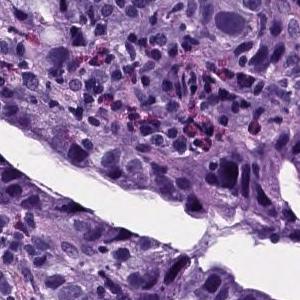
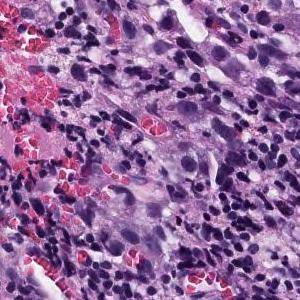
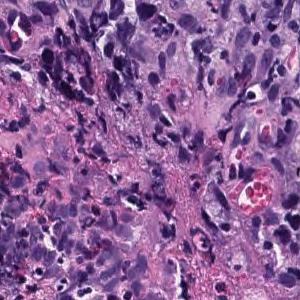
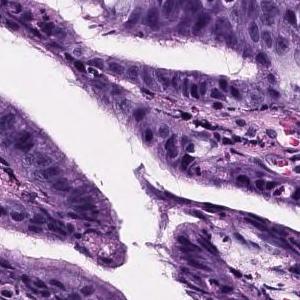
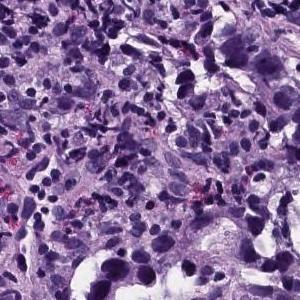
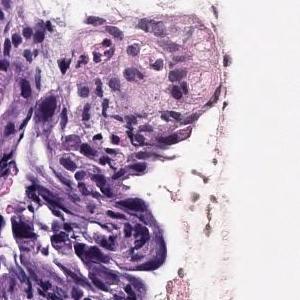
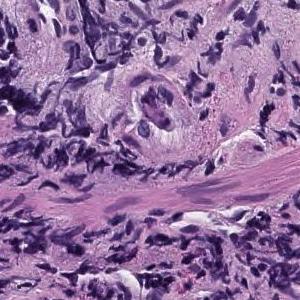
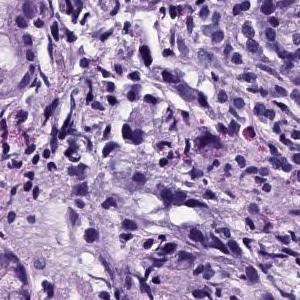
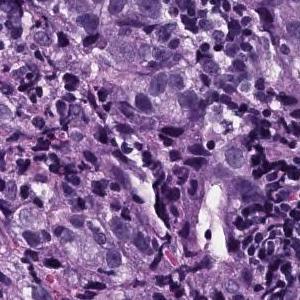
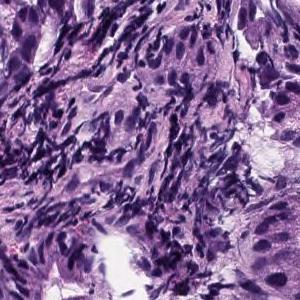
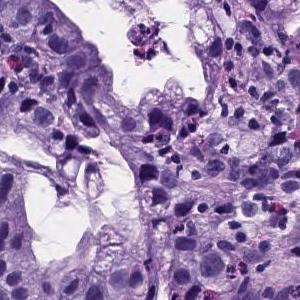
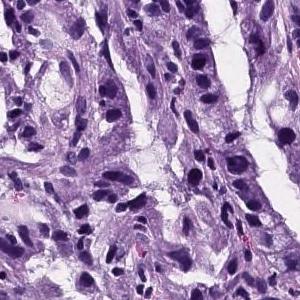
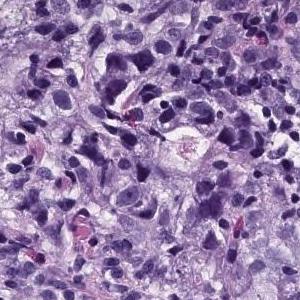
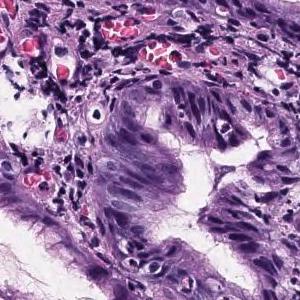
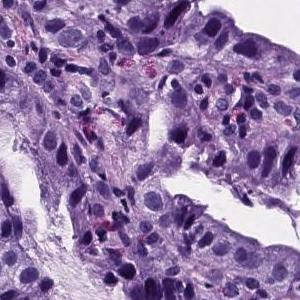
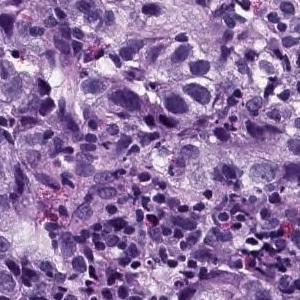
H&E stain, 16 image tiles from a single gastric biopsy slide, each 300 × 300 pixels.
Pathology report for the slide these tiles were cut from. What the report and the diagnosis say applies to the whole slide; these tiles may miss some of the features named and may include tissue that is not tumor.
Atypical epithelial cells infiltrating and proliferating while forming solid or cord-like fused glandular cavities of different sizes is observed. moderately differentiated tubular adenocarcinoma, poorly differentiated adenocarcinoma.
Classified as moderately to poorly differentiated adenocarcinoma.
